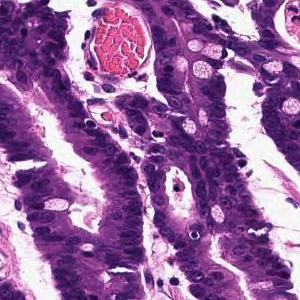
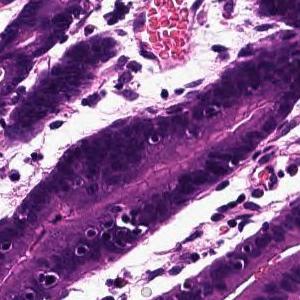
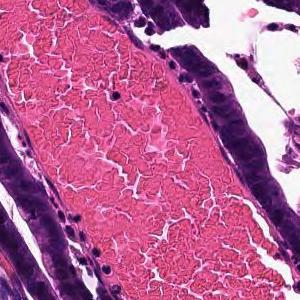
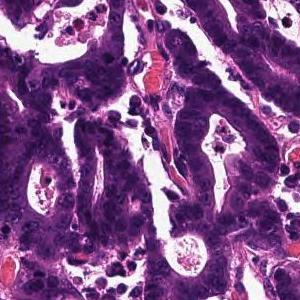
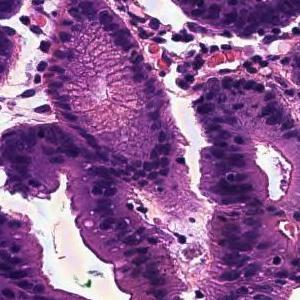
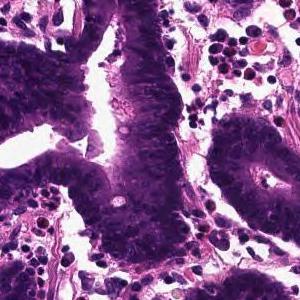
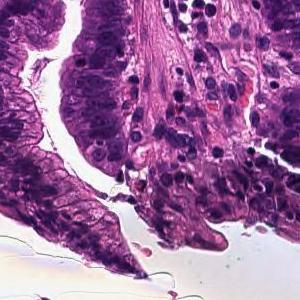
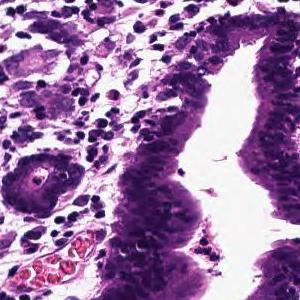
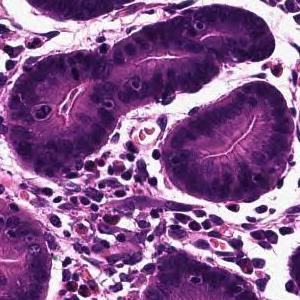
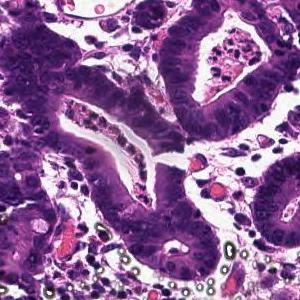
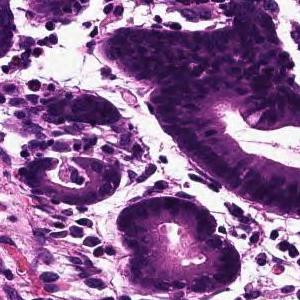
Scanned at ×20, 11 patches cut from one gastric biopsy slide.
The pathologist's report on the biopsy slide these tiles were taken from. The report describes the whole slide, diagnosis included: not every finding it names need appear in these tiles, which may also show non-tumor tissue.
Tumor tissue that infiltrates by forming large papillary or large irregular glandular ducts is observed confined to the mucosa. Papillary adenocarcinoma
